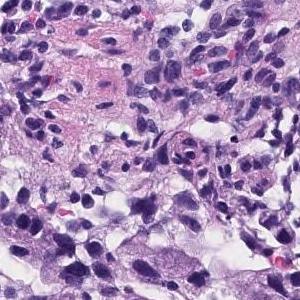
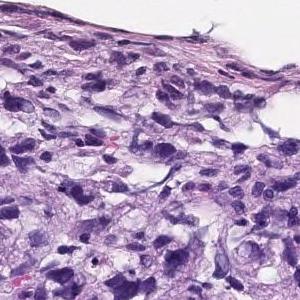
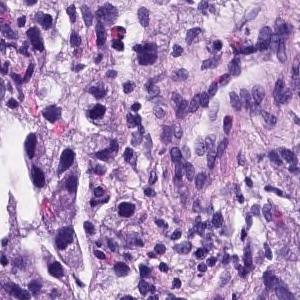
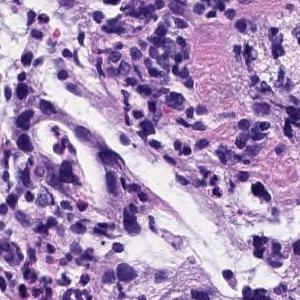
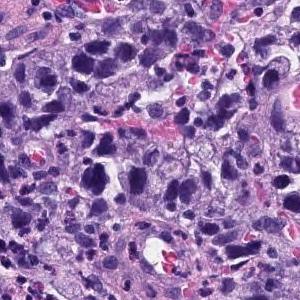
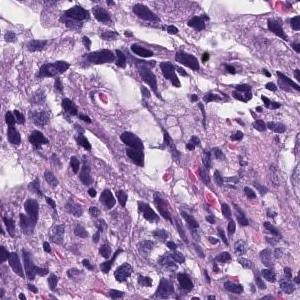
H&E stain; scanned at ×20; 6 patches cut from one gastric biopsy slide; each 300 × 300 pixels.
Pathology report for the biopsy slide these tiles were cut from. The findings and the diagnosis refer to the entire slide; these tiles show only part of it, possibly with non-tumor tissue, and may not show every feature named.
Medium to small, irregular glandular ducts are formed in the superficial epithelium, and in some cases, the glandular ducts are fused to show solid alveolar lesions and infiltrating tumor tissue is observed. Poorly differentiated adenocarcinoma, Moderately differentiated adenocarcinoma.
Dataset label: moderately differentiated tubular adenocarcinoma.
